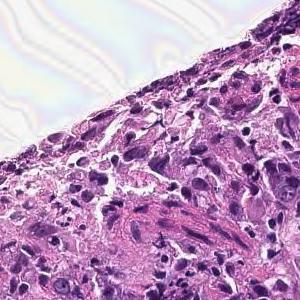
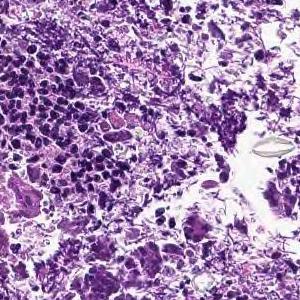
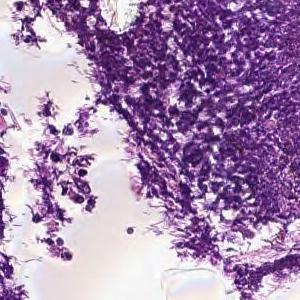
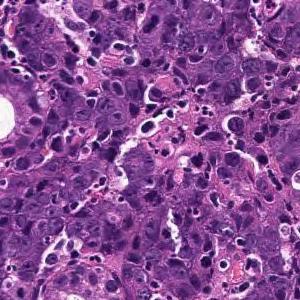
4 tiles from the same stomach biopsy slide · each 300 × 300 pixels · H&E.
Pathology report for the biopsy slide these tiles were cut from. The report describes the whole slide, diagnosis included: not every finding it names need appear in these tiles, which may also show non-tumor tissue.
Cancers with polygonal nuclei do not show glandular formation and are densely, in part, cord-like and proliferate. Poorly differentiated adenocarcinoma
Histological subtype: Poorly differentiated adenocarcinoma, non-solid type.
"Non-solid type" is a category of the Japanese Classification of Gastric Carcinoma.
